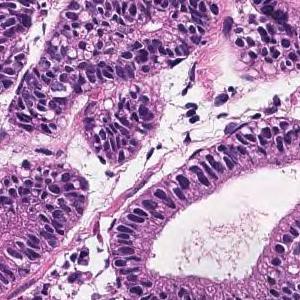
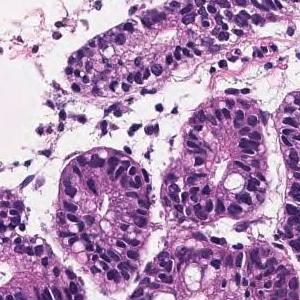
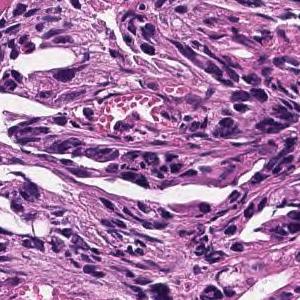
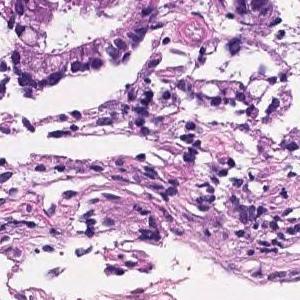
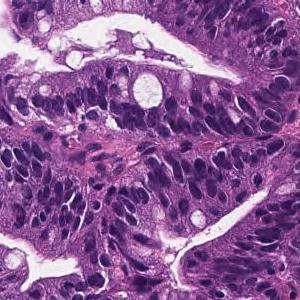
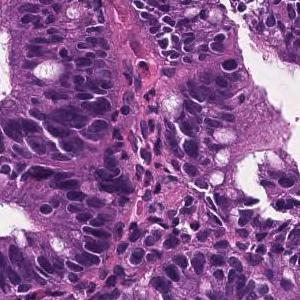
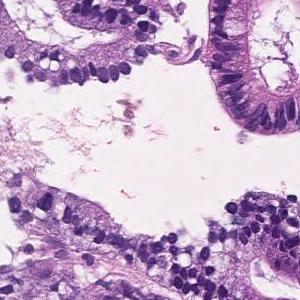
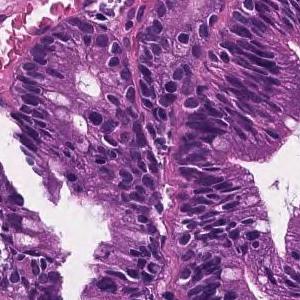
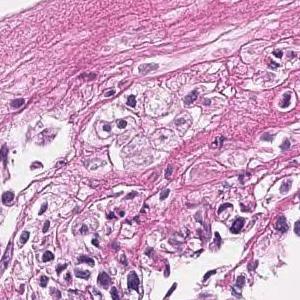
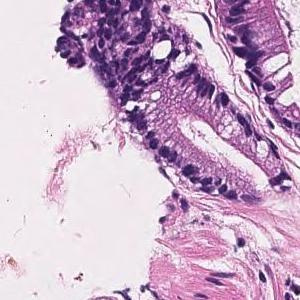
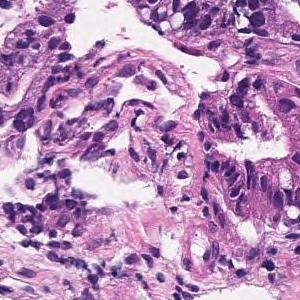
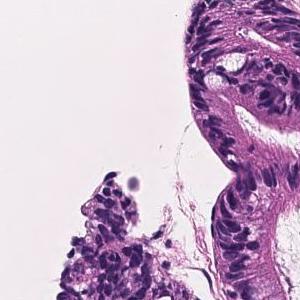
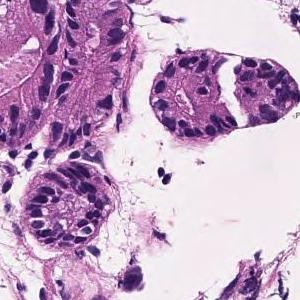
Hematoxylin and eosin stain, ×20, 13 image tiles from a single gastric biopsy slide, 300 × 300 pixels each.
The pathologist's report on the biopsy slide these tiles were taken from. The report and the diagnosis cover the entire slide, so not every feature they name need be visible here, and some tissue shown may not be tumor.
Most remain in the superficial epithelium, forming medium-sized papillary or small irregular ducts and proliferating, and some tumor tissue invades the muscularis mucosae. Papillary adenocarcinoma
